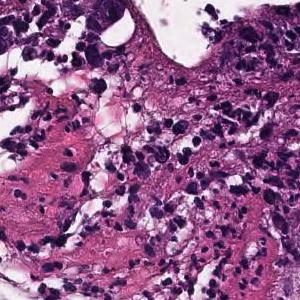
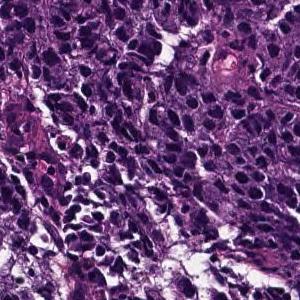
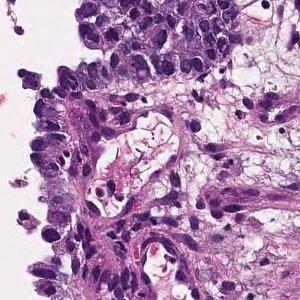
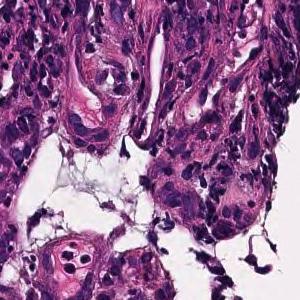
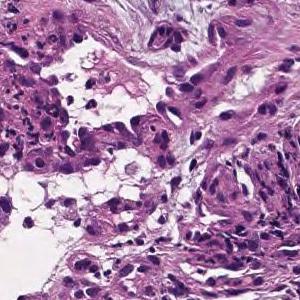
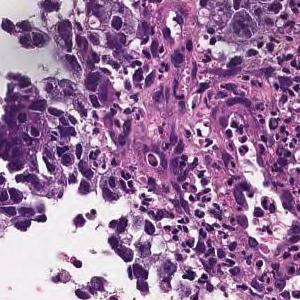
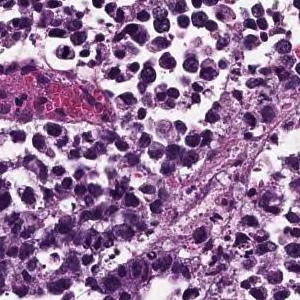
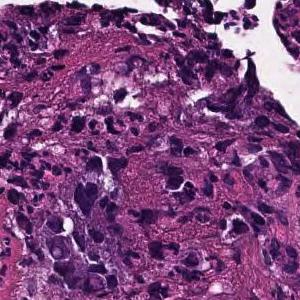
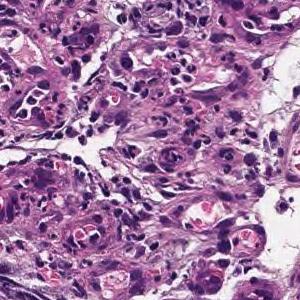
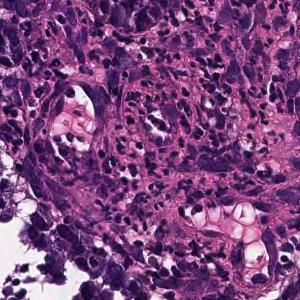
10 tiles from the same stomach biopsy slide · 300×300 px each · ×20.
Pathology report for the biopsy slide these tiles were cut from. The report describes the whole slide, diagnosis included: not every finding it names need appear in these tiles, which may also show non-tumor tissue.
The superficial epithelium shows a large sheet-like shape, and some tumor tissue infiltrates with small irregular ducts. Poorly differentiated adenocarcinoma, solid-type
Tumor subtype: poorly differentiated adenocarcinoma, solid type (Japanese Classification of Gastric Carcinoma). The WHO 2019 equivalent is tubular adenocarcinoma, poorly differentiated.
